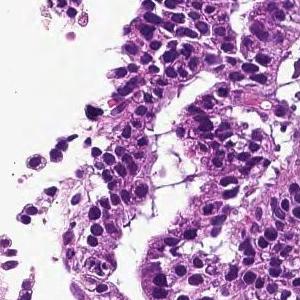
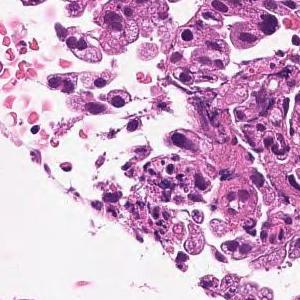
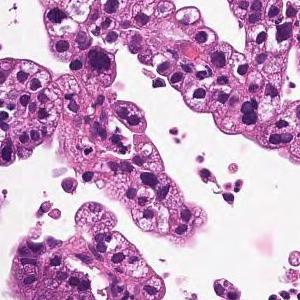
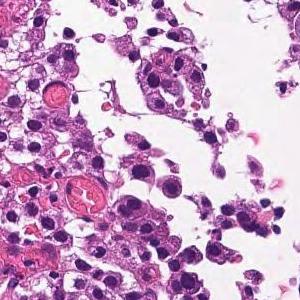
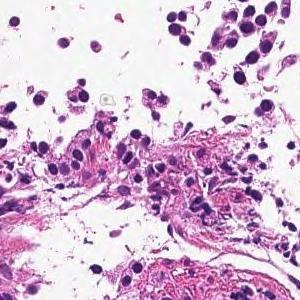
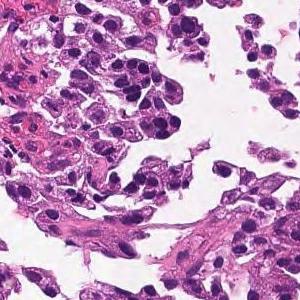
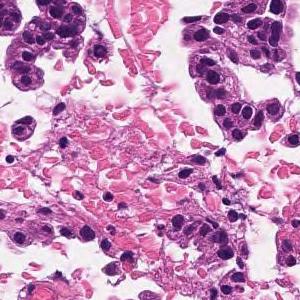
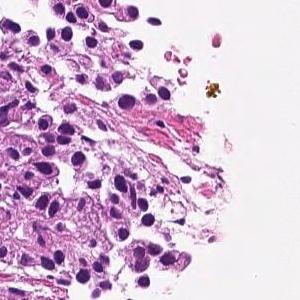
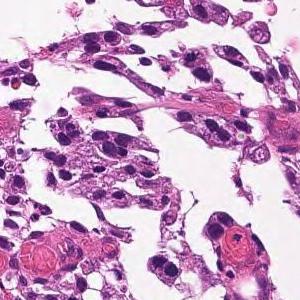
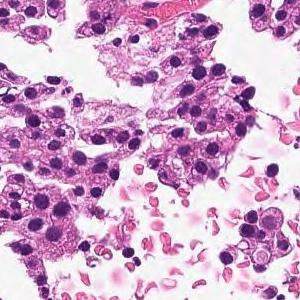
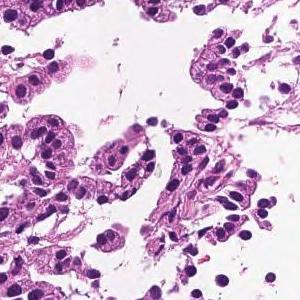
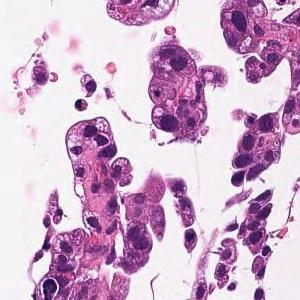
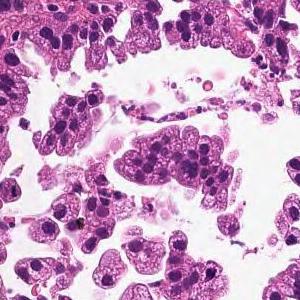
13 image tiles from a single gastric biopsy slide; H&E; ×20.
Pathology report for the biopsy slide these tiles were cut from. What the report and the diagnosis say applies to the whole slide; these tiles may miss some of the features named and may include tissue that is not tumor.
In the superficial epithelium, tumor tissue that invades by forming medium-sized to small, irregular ducts is observed. moderately differentiated tubular adenocarcinoma.
